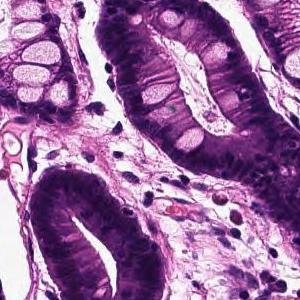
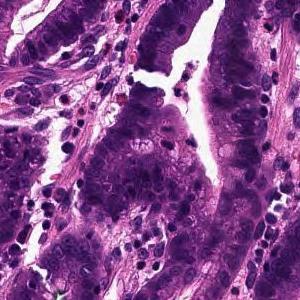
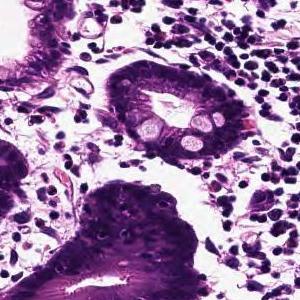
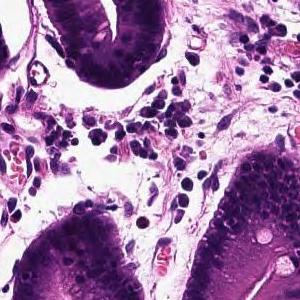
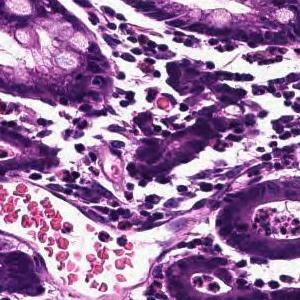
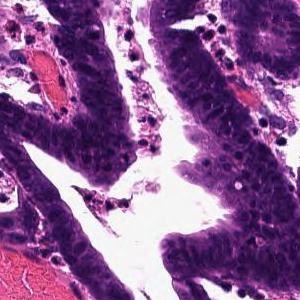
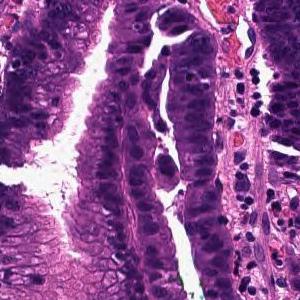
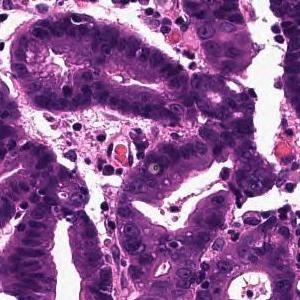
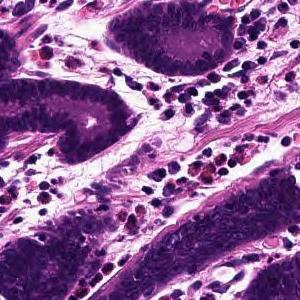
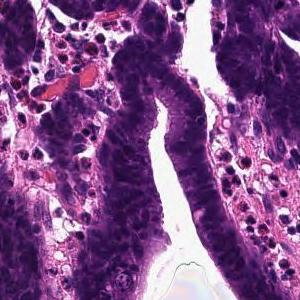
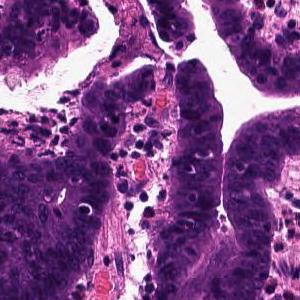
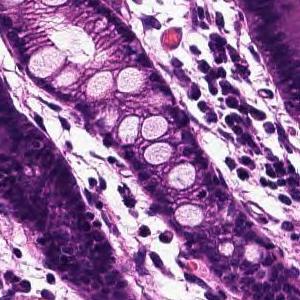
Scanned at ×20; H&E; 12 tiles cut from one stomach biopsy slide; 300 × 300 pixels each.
The pathologist's report on the biopsy slide these tiles were taken from. The report and the diagnosis cover the entire slide, so not every feature they name need be visible here, and some tissue shown may not be tumor.
Tumor tissue that infiltrates by forming large papillary or large irregular glandular ducts is observed confined to the mucosa. Papillary adenocarcinoma
